8 tiles cut from one stomach biopsy slide · 300 × 300 pixels each · hematoxylin and eosin stain · scanned at ×20.
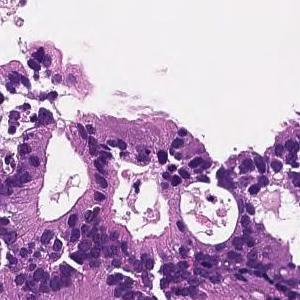
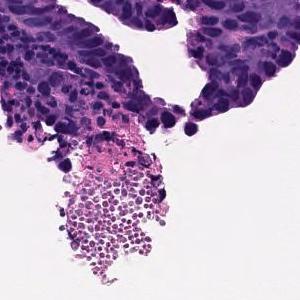
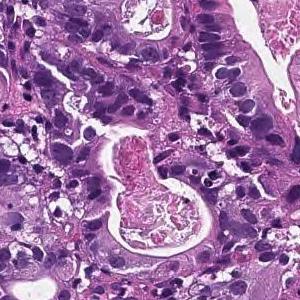
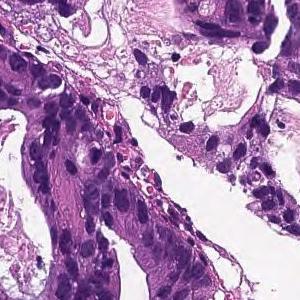
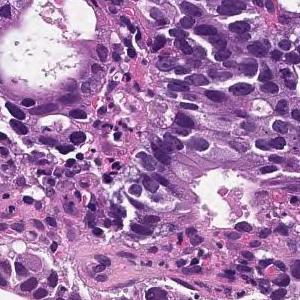
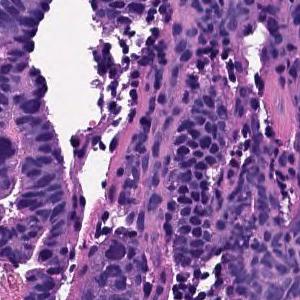
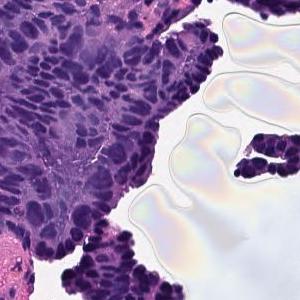
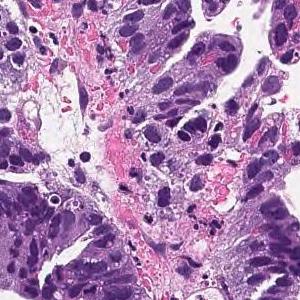
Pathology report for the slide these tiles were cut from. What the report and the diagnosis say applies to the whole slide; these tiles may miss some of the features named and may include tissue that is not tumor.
In the superficial epithelium, tumor tissue that invades by forming medium-sized to small, irregular ducts is observed. moderately differentiated tubular adenocarcinoma.
